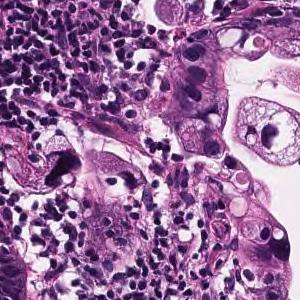
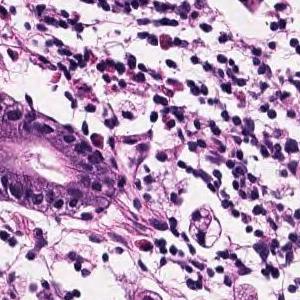
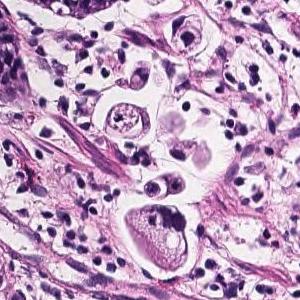
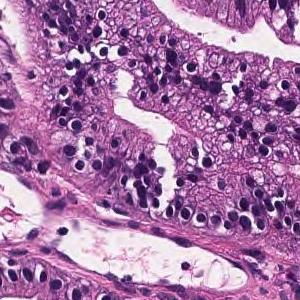
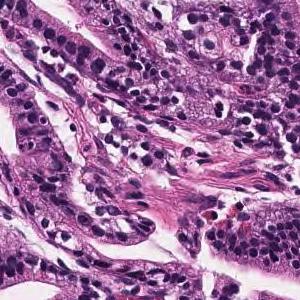
5 tiles cut from one stomach biopsy slide · hematoxylin and eosin stain · 20× magnification.
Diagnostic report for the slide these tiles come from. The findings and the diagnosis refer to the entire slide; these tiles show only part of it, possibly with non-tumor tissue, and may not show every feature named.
Tumor tissue consisting of large papillary structures or irregular glandular ducts partially fused and infiltrated is observed in the superficial epithelium. Well to moderately differentiated tubular adenocarcinoma.
Dataset label: moderately differentiated tubular adenocarcinoma.
